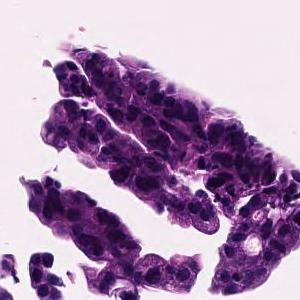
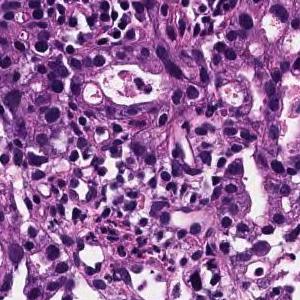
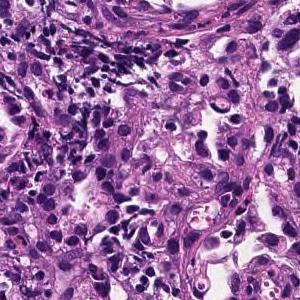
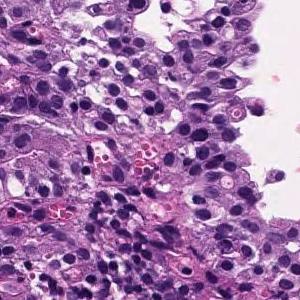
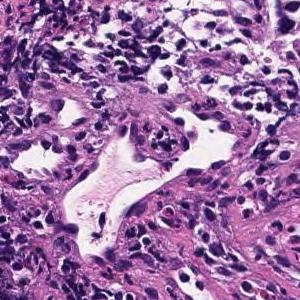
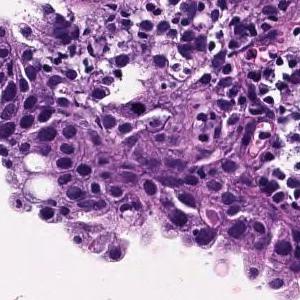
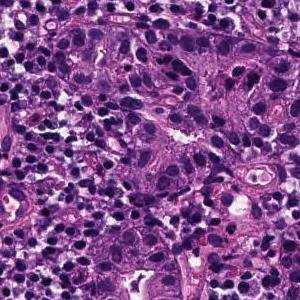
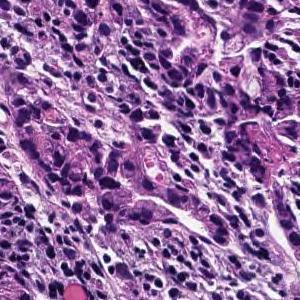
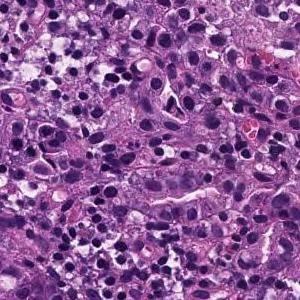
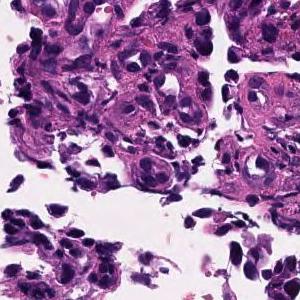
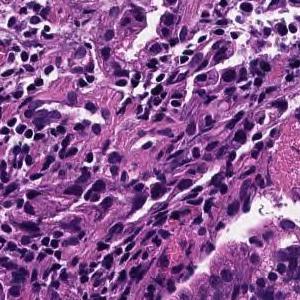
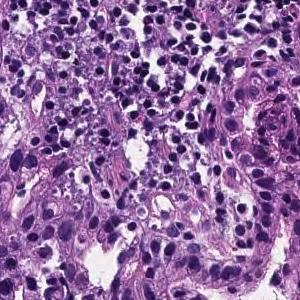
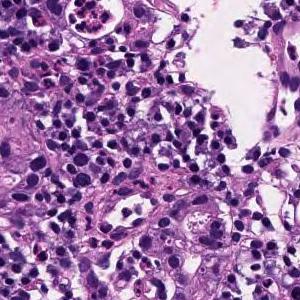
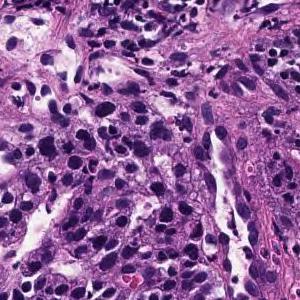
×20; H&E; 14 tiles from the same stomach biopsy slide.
The pathologist's report on the biopsy slide these tiles were taken from. What the report and the diagnosis say applies to the whole slide; these tiles may miss some of the features named and may include tissue that is not tumor.
Medium to small, irregular glandular ducts are formed in the superficial epithelium, and in some cases, the glandular ducts are fused to show solid alveolar lesions and infiltrating tumor tissue is observed. Moderately to poorly differentiated adenocarcinoma.
